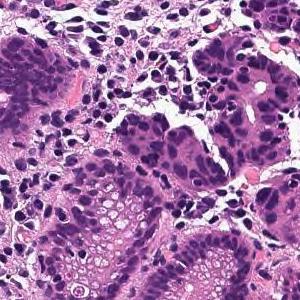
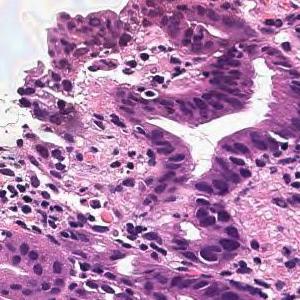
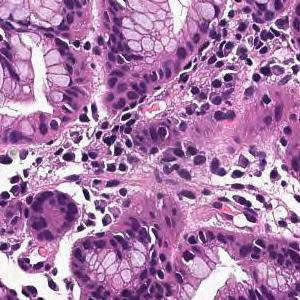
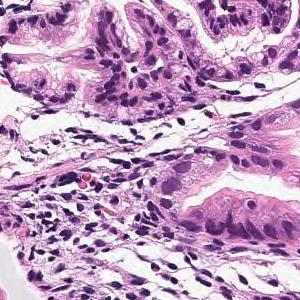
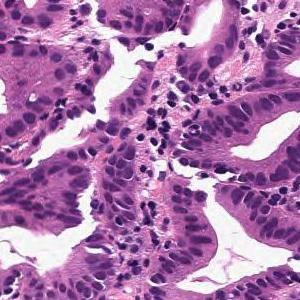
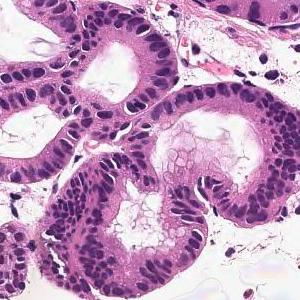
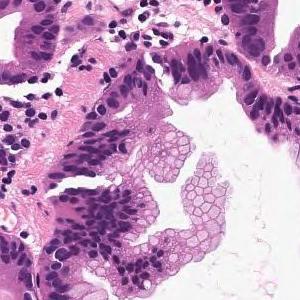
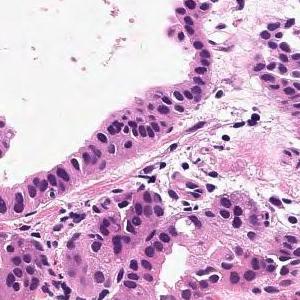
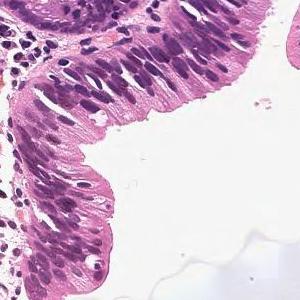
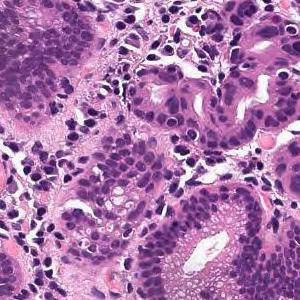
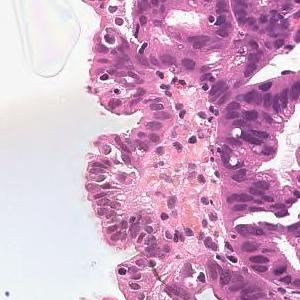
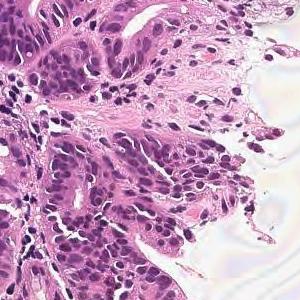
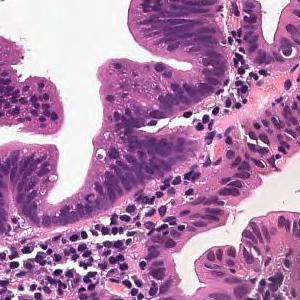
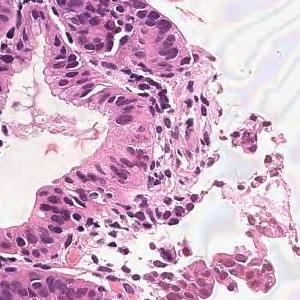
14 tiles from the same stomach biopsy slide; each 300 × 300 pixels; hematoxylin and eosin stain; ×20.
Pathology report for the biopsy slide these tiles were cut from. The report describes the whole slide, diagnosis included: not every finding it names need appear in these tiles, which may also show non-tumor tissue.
Cells with elliptical or atypical nuclei form dense ducts with relatively clear growth. Well differentiated tubular adenocarcinoma
